16 image tiles from a single gastric biopsy slide · each 300 × 300 pixels · H&E stain.
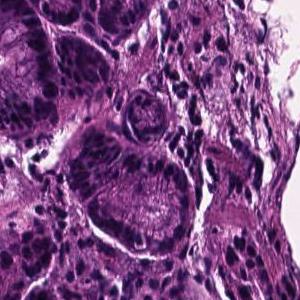
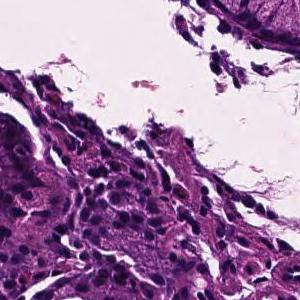
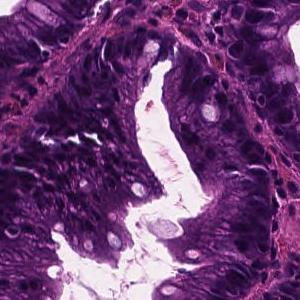
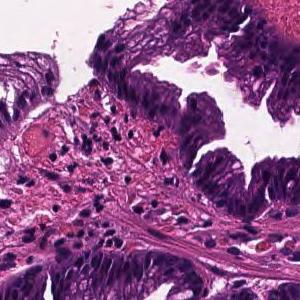
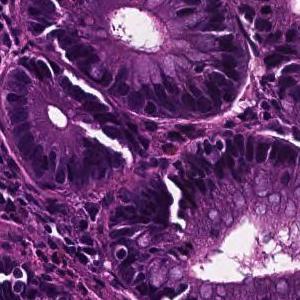
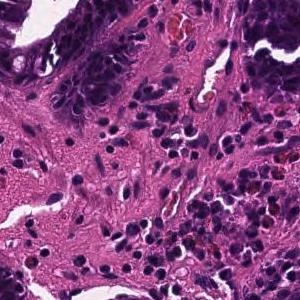
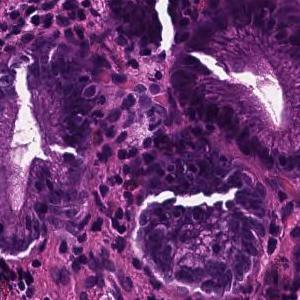
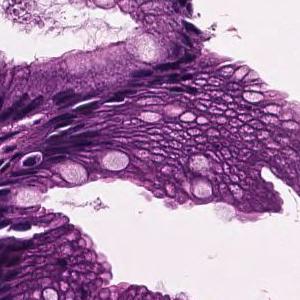
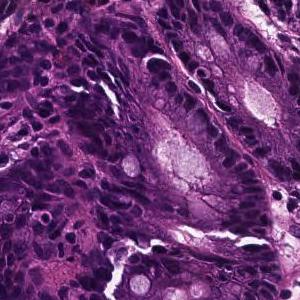
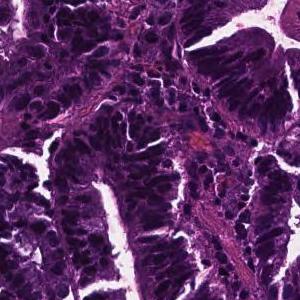
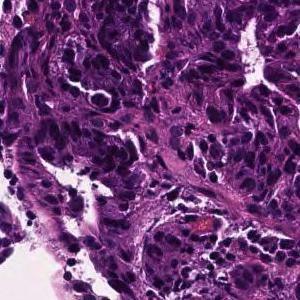
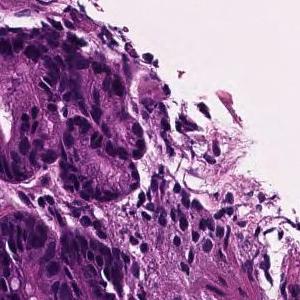
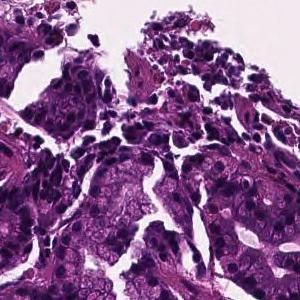
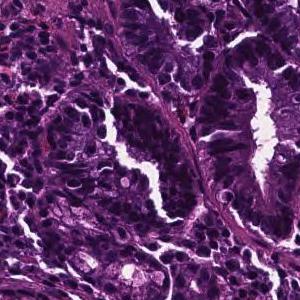
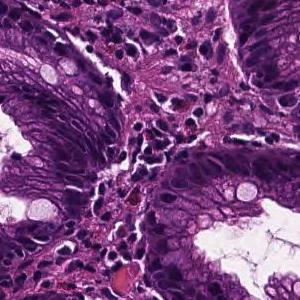
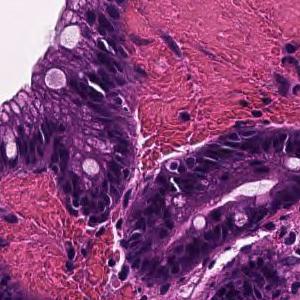
Diagnostic report for the slide these tiles come from. The report describes the whole slide, diagnosis included: not every finding it names need appear in these tiles, which may also show non-tumor tissue.
In the superficial epithelium, tumor tissue that invades by forming medium-sized to small, irregular ducts is observed. Well differentiated tubular adenocarcinoma.
